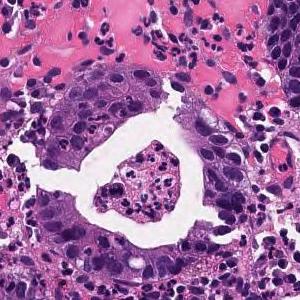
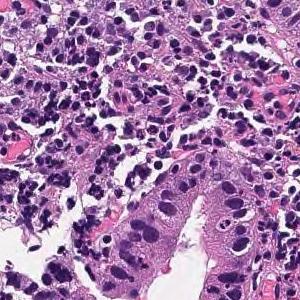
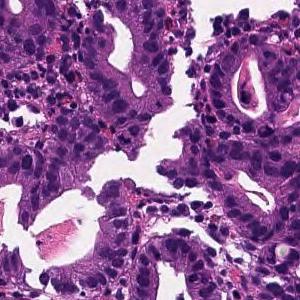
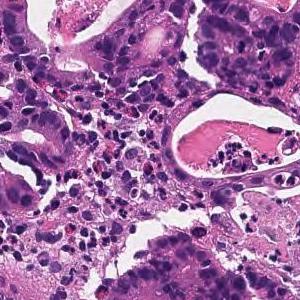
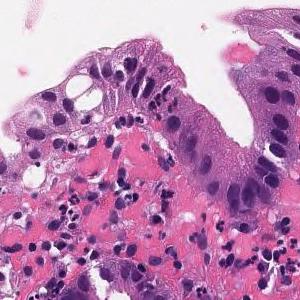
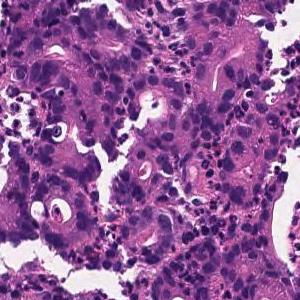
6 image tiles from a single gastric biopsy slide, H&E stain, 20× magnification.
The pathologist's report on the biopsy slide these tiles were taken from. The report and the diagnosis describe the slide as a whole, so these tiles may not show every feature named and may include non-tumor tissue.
In the superficial epithelium, tumor tissue that invades by forming medium-sized to small, irregular ducts is observed. moderately differentiated tubular adenocarcinoma.
